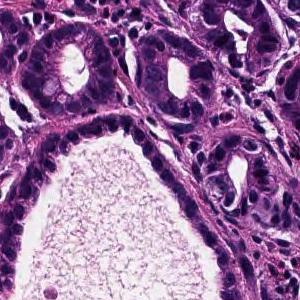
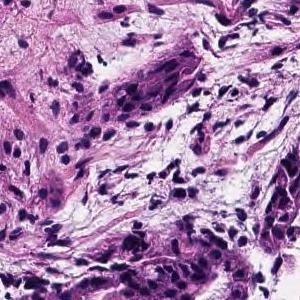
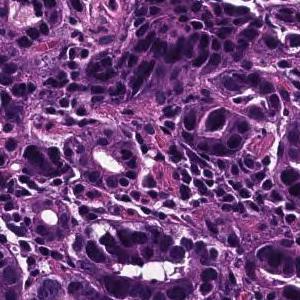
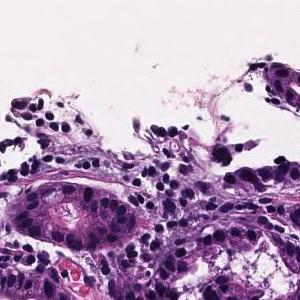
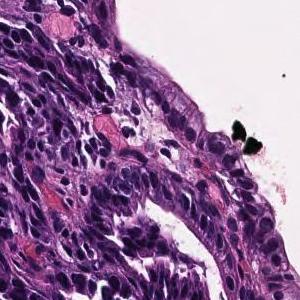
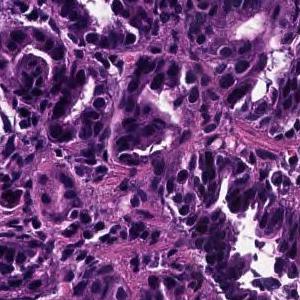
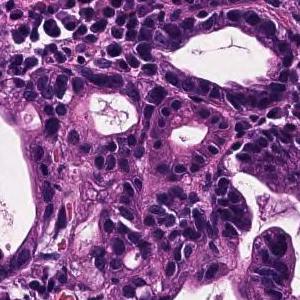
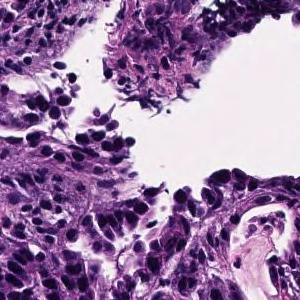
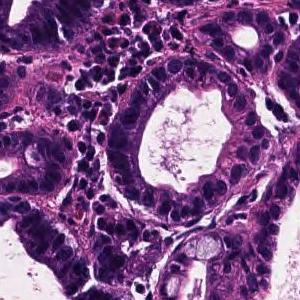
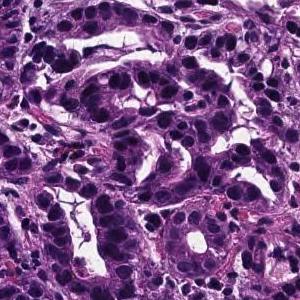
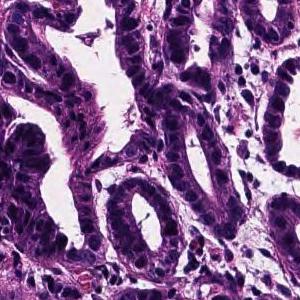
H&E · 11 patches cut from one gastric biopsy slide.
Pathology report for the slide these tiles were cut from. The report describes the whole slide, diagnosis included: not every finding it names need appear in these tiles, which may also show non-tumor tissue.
On the superficial epithelium, tumor tissue consisting of proliferative images of medium-sized to small-sized round or irregular glandular ducts is observed. Well differentiated tubular adenocarcinoma
